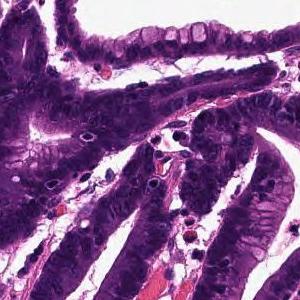
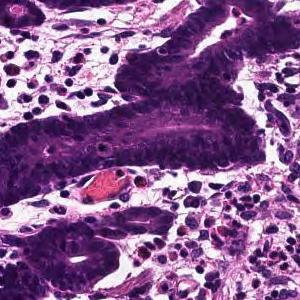
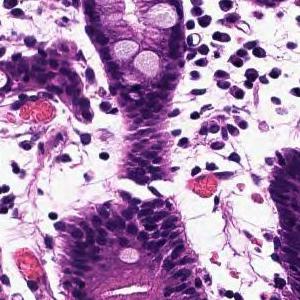
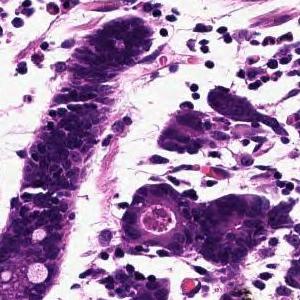
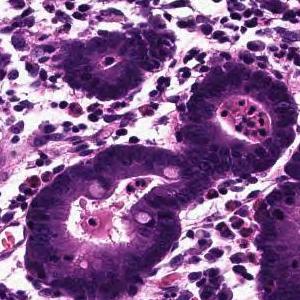
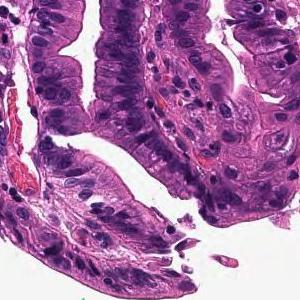
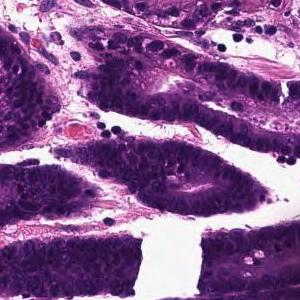
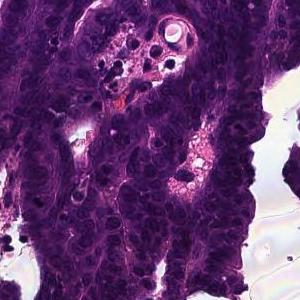
20× magnification, hematoxylin and eosin stain, 8 patches cut from one gastric biopsy slide.
Report on the slide these tiles come from. Both the report and the diagnosis are for the whole slide: these tiles need not show every feature named, and some of the tissue shown may not be tumor.
Tumor tissue that infiltrates by forming large papillary or large irregular glandular ducts is observed confined to the mucosa. Papillary adenocarcinoma
